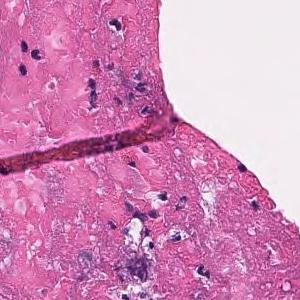
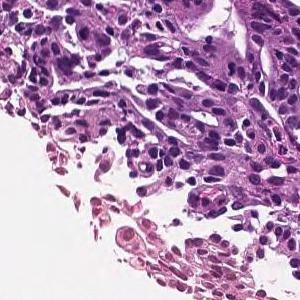
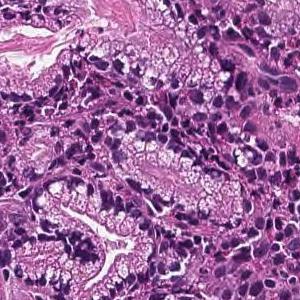
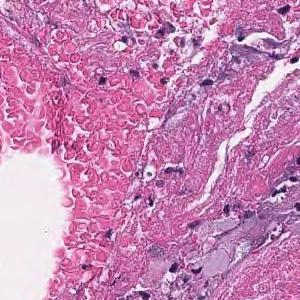
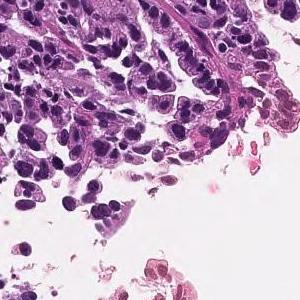
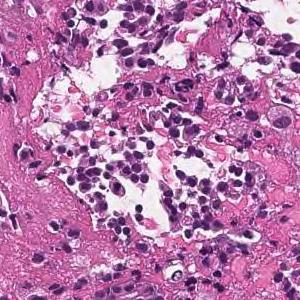
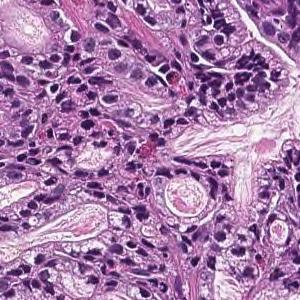
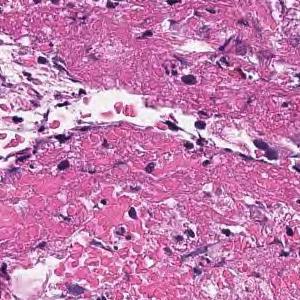
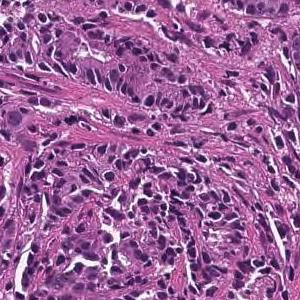
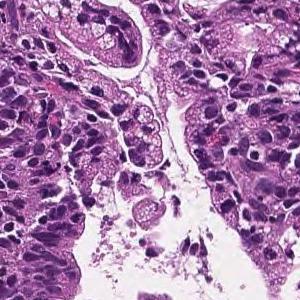
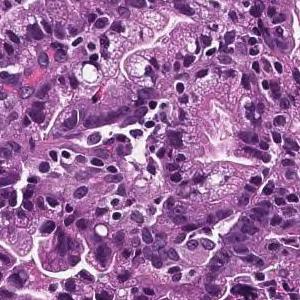
11 image tiles from a single gastric biopsy slide · 300×300 px each · hematoxylin and eosin stain.
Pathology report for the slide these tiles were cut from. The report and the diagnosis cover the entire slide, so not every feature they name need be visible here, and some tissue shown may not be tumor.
On the superficial epithelium, tumor tissue that infiltrates by forming medium-sized papillary or small irregular ducts is observed. Papillary adenocarcinoma
